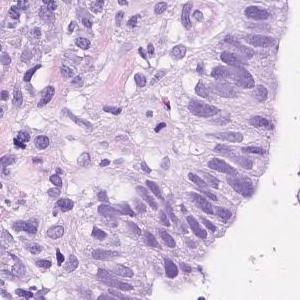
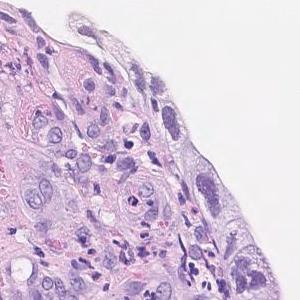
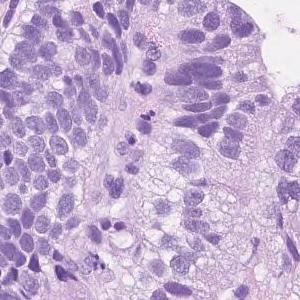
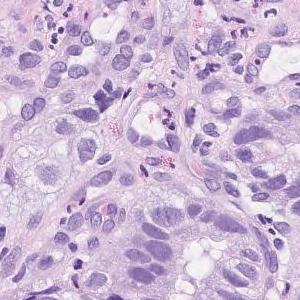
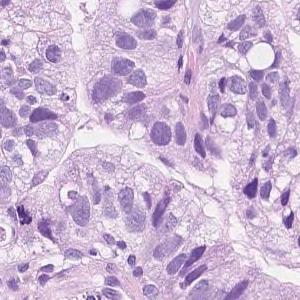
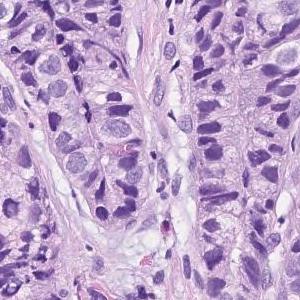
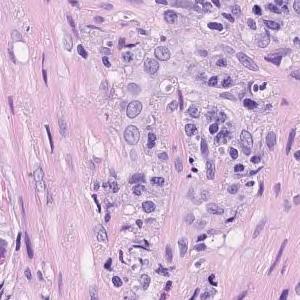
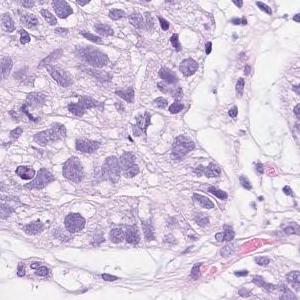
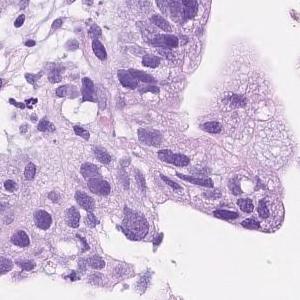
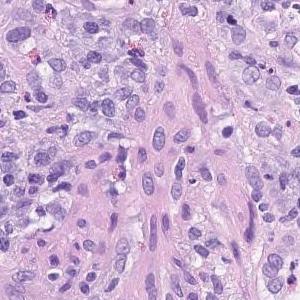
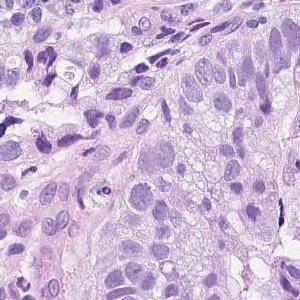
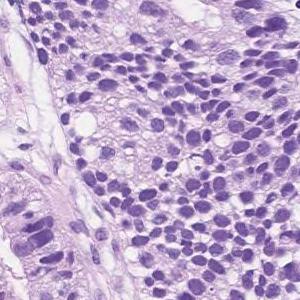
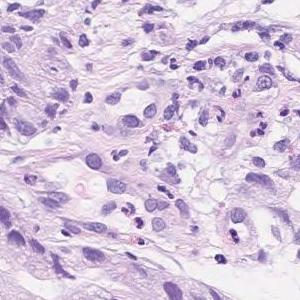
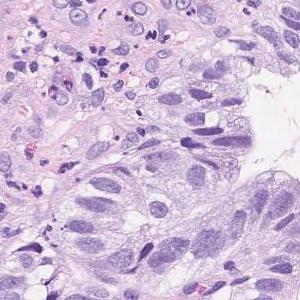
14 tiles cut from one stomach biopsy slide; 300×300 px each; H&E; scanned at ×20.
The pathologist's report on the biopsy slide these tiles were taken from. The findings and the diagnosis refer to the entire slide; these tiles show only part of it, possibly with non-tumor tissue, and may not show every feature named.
Atypical l cells with atypical nuclei forming solid or diffuse vesicles or small irregular atypical ducts and growing in a complex manner. moderately differentiated tubular adenocarcinoma
